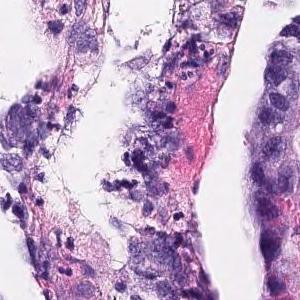
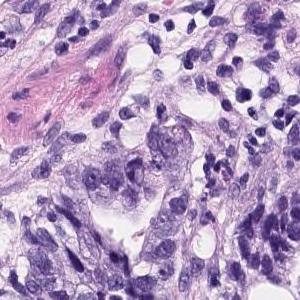
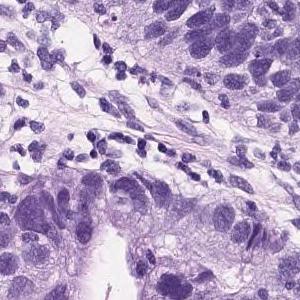
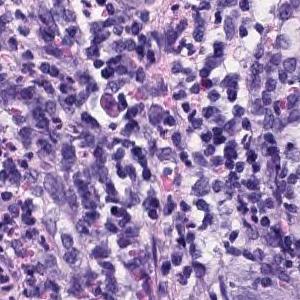
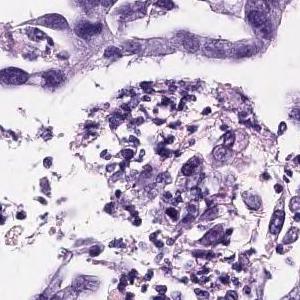
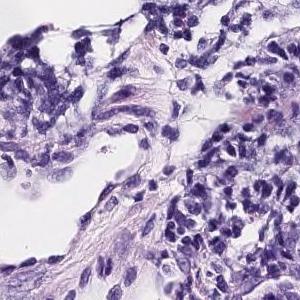
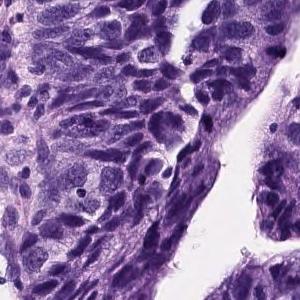
7 tiles from the same stomach biopsy slide · 300 × 300 pixels each.
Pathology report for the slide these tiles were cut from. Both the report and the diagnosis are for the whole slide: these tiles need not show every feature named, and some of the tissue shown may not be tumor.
On the superficial epithelium, tumor tissue consisting of medium to small irregular tubules partially fused and proliferated is observed. moderately differentiated tubular adenocarcinoma
